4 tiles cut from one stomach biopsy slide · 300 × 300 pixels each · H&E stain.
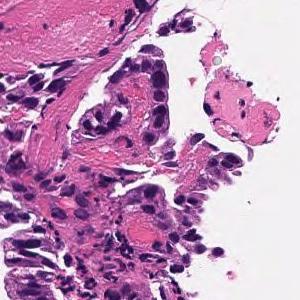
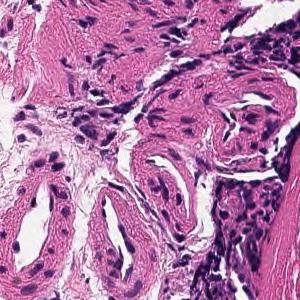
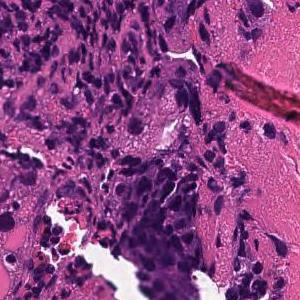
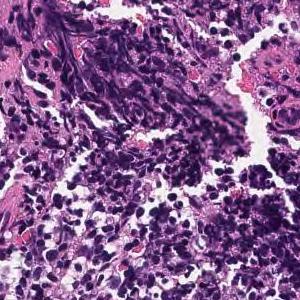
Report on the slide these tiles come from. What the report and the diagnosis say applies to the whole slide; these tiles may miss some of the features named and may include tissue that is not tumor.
Tumor cells are large, highly columnar, large club-shaped nuclei, and are associated with chromatin aggregation. Papillary adenocarcinoma.
